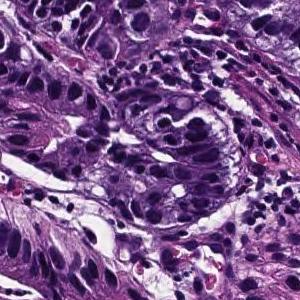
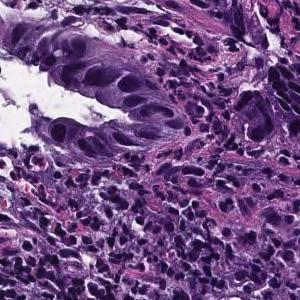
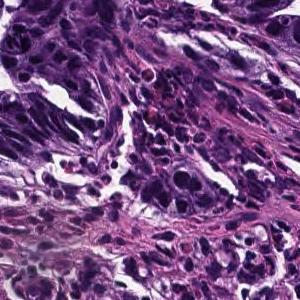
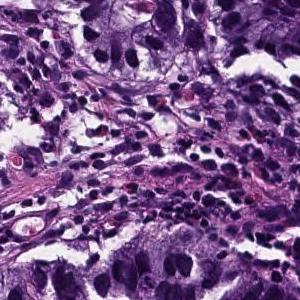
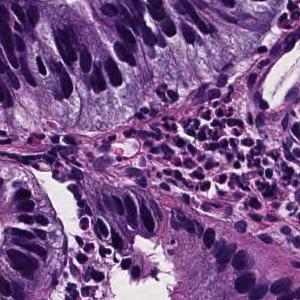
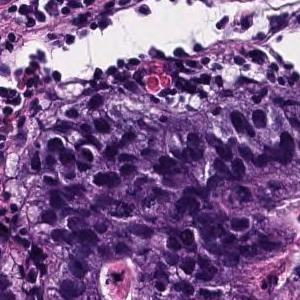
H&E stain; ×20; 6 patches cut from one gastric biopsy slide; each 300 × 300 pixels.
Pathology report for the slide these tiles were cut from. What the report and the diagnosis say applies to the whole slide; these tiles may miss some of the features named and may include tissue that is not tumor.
In the superficial epithelium, tumor tissue that invades by forming medium-sized to small, irregular ducts is observed. Moderately differentiated adenocarcinoma.
Classified as moderately differentiated tubular adenocarcinoma.
